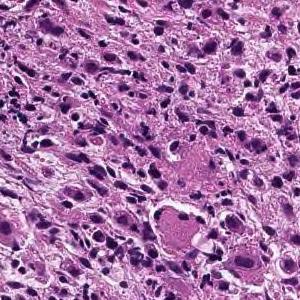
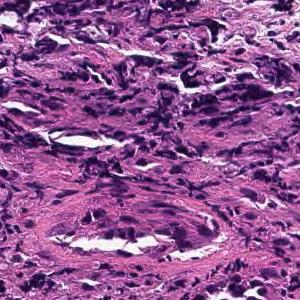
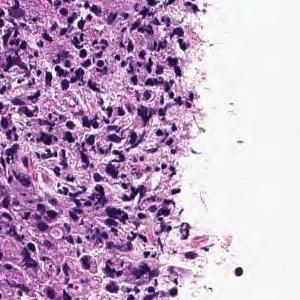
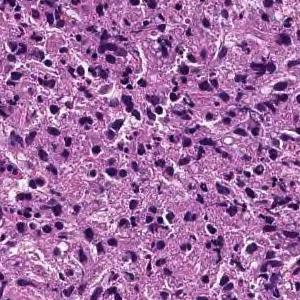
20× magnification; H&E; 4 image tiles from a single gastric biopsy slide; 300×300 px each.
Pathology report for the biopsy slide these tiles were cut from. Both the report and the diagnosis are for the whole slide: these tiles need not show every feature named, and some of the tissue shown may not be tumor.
Large sheet-like or diffusely infiltrating tumor tissue is found in the superficial epithelium. Poorly differentiated adenocarcinoma, solid-type
Subtype: Poorly differentiated adenocarcinoma, solid type, a category of the Japanese Classification of Gastric Carcinoma; in the WHO 2019 classification it is tubular adenocarcinoma, poorly differentiated.
